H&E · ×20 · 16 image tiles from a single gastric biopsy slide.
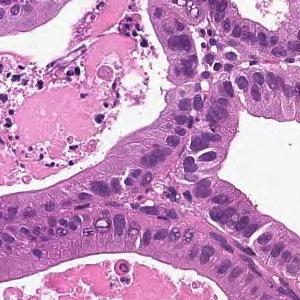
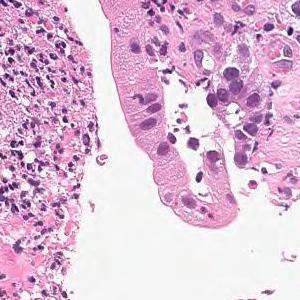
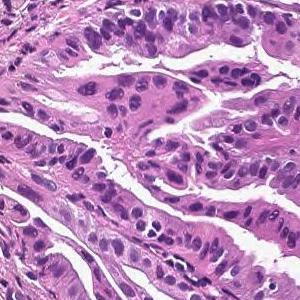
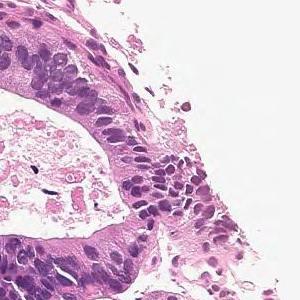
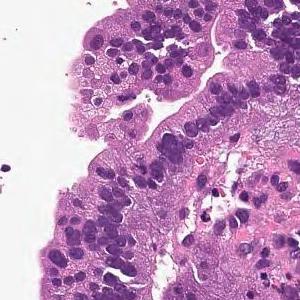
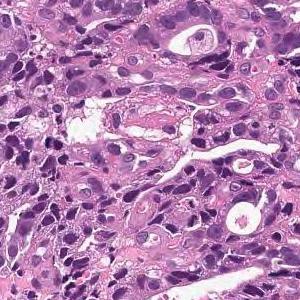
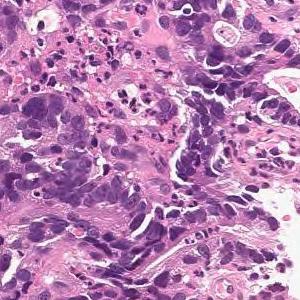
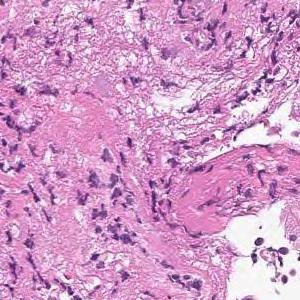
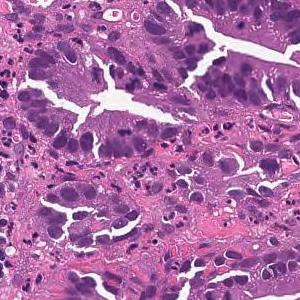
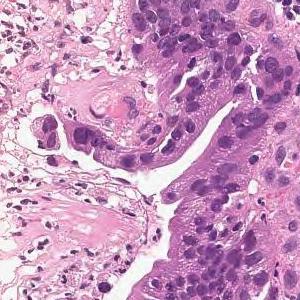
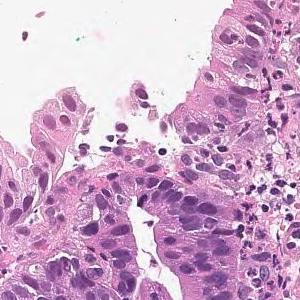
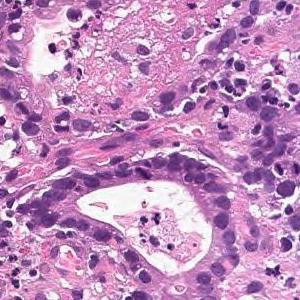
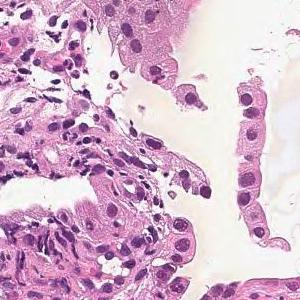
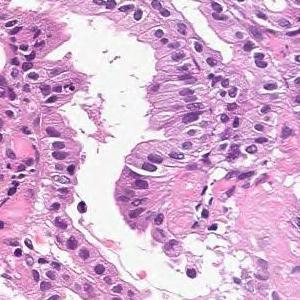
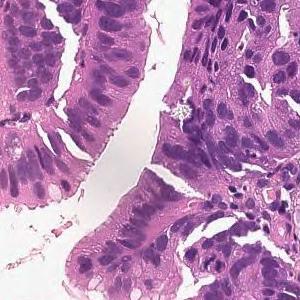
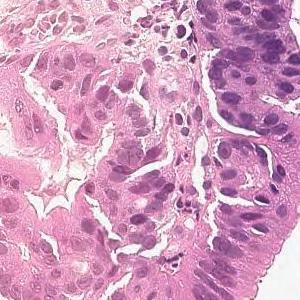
The pathologist's report on the biopsy slide these tiles were taken from. The report and the diagnosis cover the entire slide, so not every feature they name need be visible here, and some tissue shown may not be tumor.
From the superficial epithelium to the muscularis mucosae, tumor tissue consisting of medium-sized and irregular glandular ducts infiltrating is observed. Well differentiated tubular adenocarcinoma
